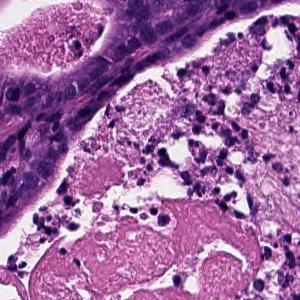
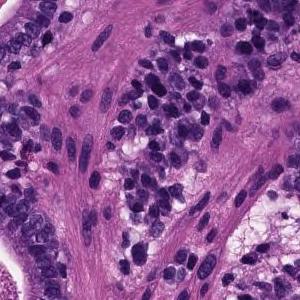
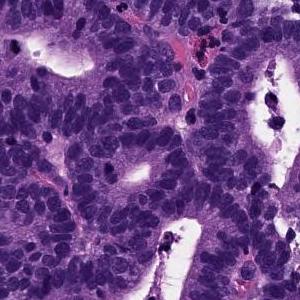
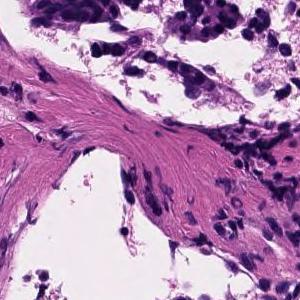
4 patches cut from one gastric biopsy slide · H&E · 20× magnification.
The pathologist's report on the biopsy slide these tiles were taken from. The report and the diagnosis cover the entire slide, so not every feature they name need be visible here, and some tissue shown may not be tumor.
From the superficial epithelium to the muscularis mucosae, tumor tissue consisting of medium-sized and irregular glandular ducts infiltrating is observed. Well differentiated tubular adenocarcinoma
